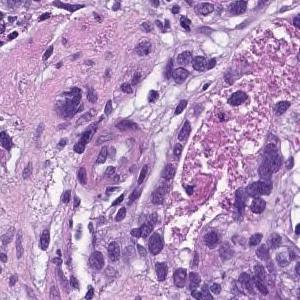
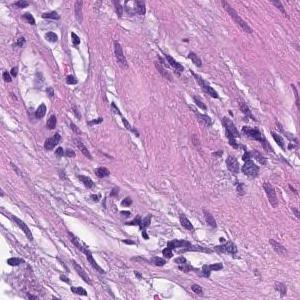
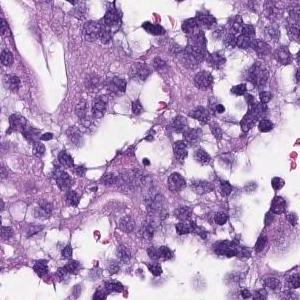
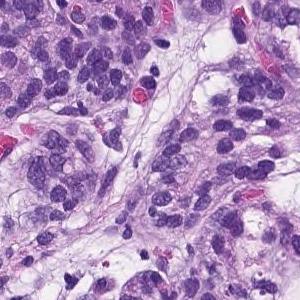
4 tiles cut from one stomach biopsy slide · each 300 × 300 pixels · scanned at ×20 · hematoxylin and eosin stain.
Report on the slide these tiles come from. The report and the diagnosis cover the entire slide, so not every feature they name need be visible here, and some tissue shown may not be tumor.
From the superficial epithelium to the muscularis mucosae, tumor tissue consisting of medium-sized and irregular glandular ducts infiltrating is observed. Well differentiated tubular adenocarcinoma
